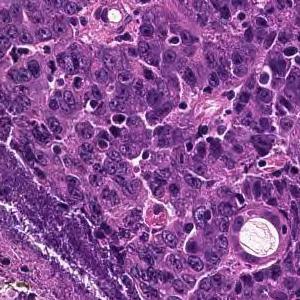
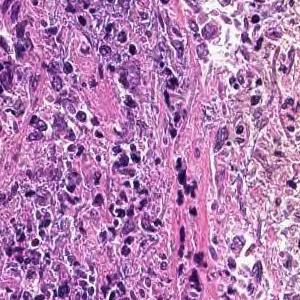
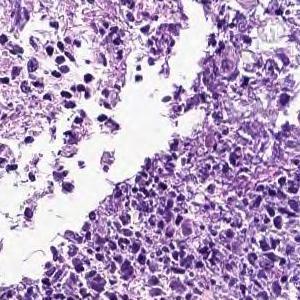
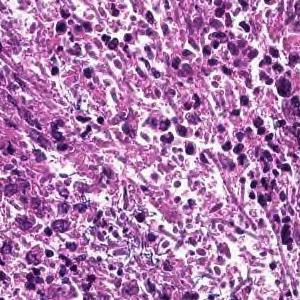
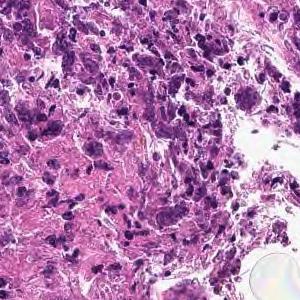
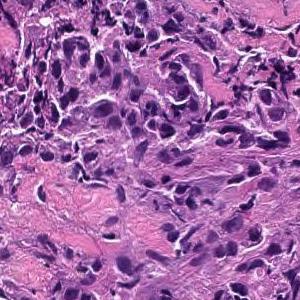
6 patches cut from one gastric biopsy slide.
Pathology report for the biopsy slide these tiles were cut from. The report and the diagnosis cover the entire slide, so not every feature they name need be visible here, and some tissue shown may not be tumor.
Cancers with polygonal nuclei do not show glandular formation and are densely, in part, cord-like and proliferate. Poorly differentiated adenocarcinoma
Tumor subtype: poorly differentiated adenocarcinoma, non-solid type.
"Non-solid type" is a category of the Japanese Classification of Gastric Carcinoma.
